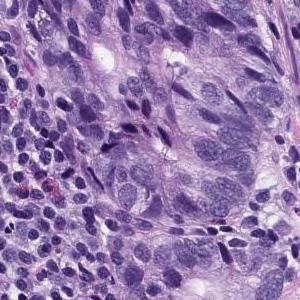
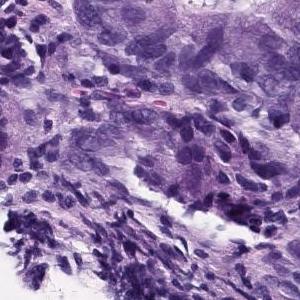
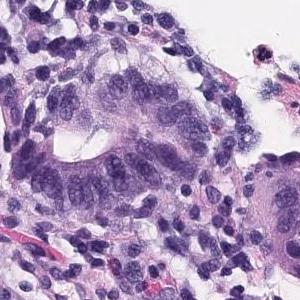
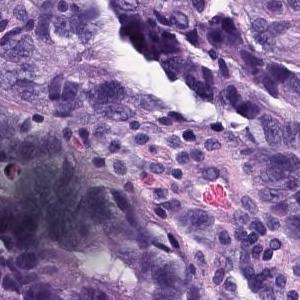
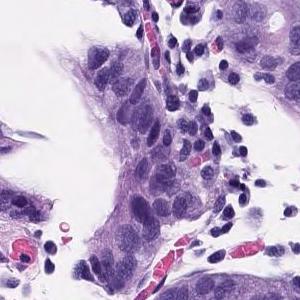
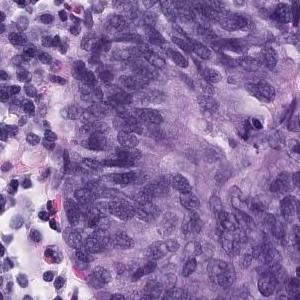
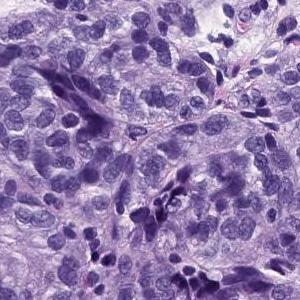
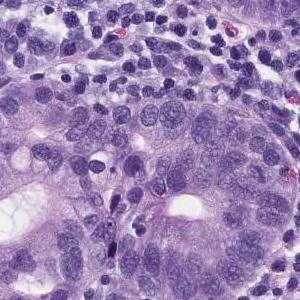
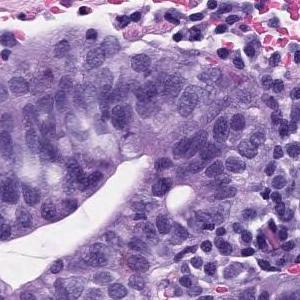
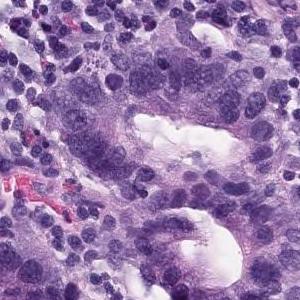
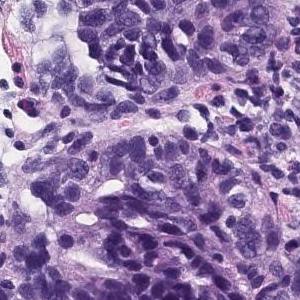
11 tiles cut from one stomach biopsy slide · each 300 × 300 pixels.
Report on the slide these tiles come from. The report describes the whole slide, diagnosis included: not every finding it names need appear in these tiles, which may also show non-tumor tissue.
In the superficial epithelium, tumor tissue that invades by forming medium-sized to small, irregular ducts is observed. Moderately differentiated adenocarcinoma.
Histological subtype: Moderately differentiated tubular adenocarcinoma.
